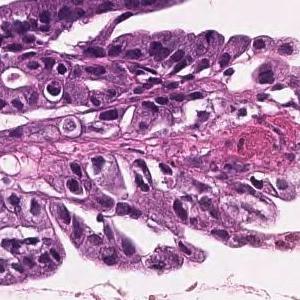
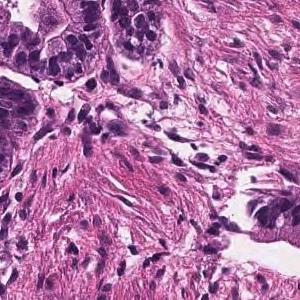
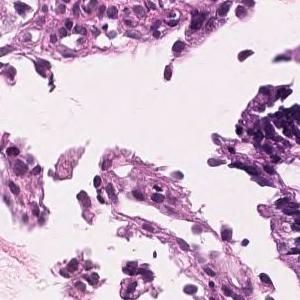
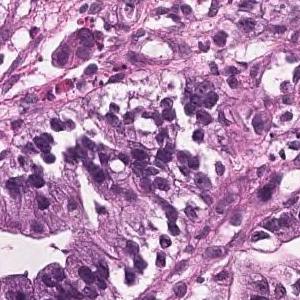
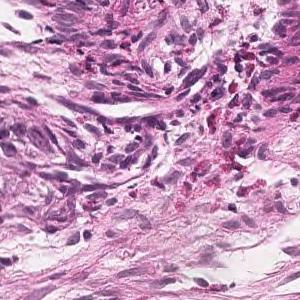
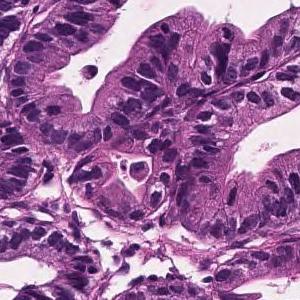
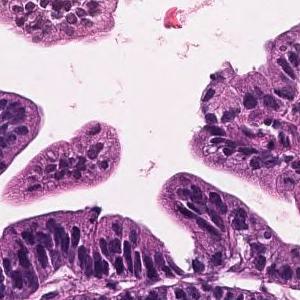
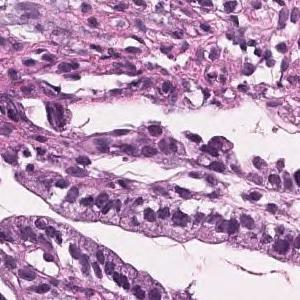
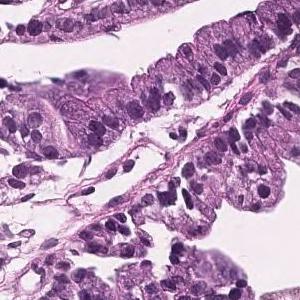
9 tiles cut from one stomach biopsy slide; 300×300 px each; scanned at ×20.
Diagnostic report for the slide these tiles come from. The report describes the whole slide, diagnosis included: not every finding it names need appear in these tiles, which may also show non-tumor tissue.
Tumor cells are large, highly columnar, large club-shaped nuclei, and are associated with chromatin aggregation. Papillary adenocarcinoma.
